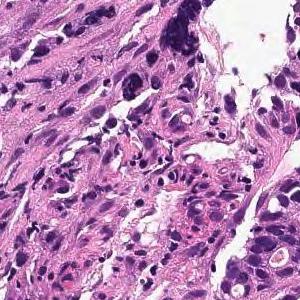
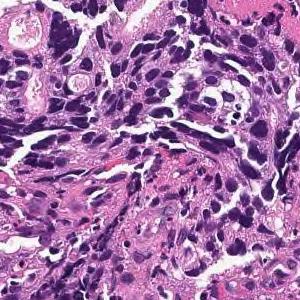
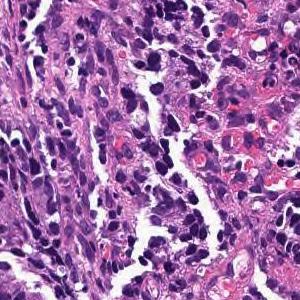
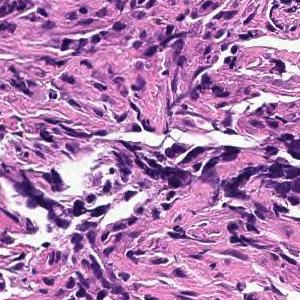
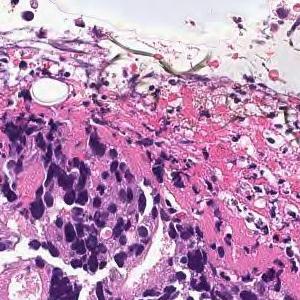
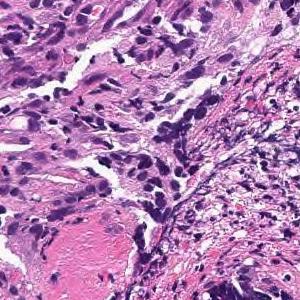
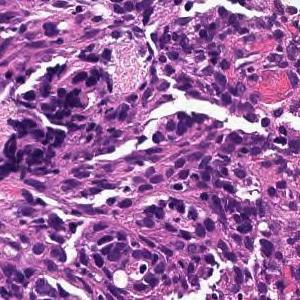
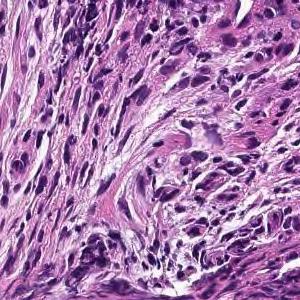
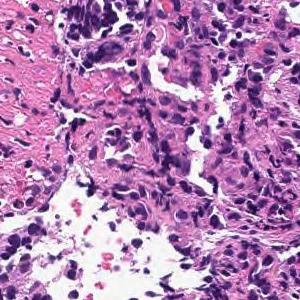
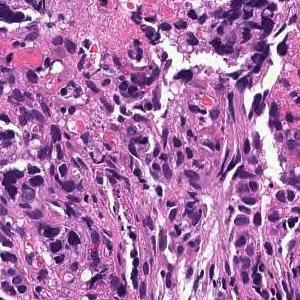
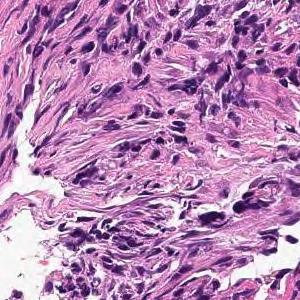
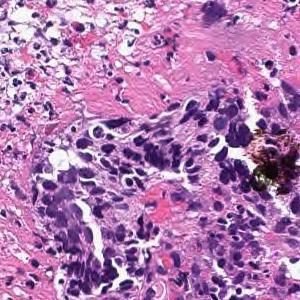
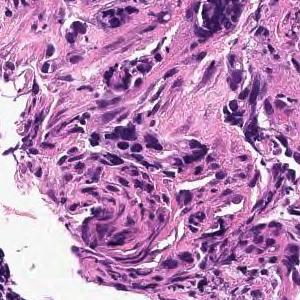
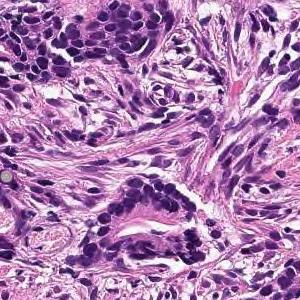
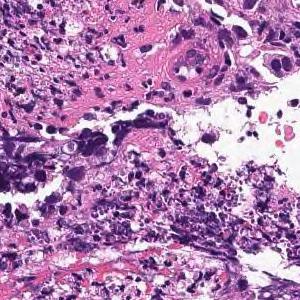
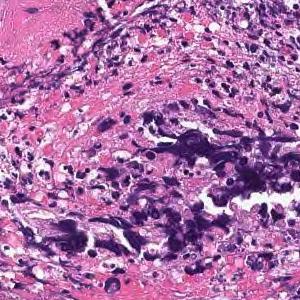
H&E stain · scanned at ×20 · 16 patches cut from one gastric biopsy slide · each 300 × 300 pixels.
The pathologist's report on the biopsy slide these tiles were taken from. The report describes the whole slide, diagnosis included: not every finding it names need appear in these tiles, which may also show non-tumor tissue.
Tumor tissue consisting of medium-sized, cord-like or irregular glandular infiltration is observed in the superficial epithelium. Poorly differentiated adenocarcinoma, non-solid type or moderately differentiated tubular adenocarcinoma
Classified as moderately to poorly differentiated adenocarcinoma.
"Non-solid type" is a category of the Japanese Classification of Gastric Carcinoma.
